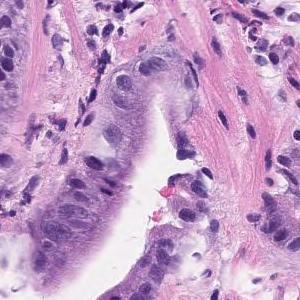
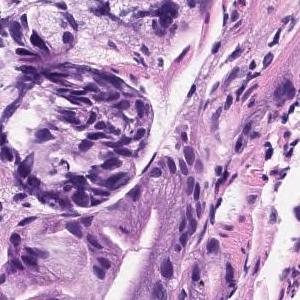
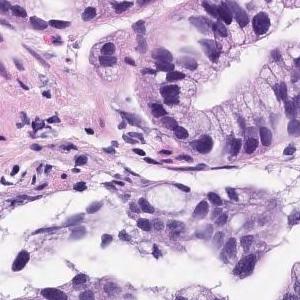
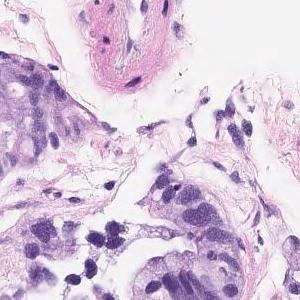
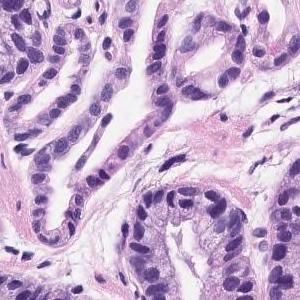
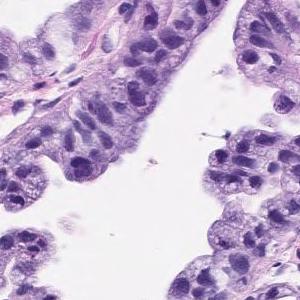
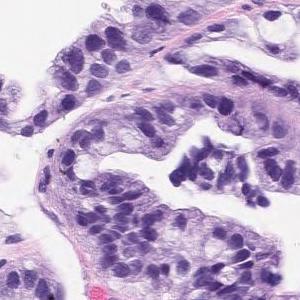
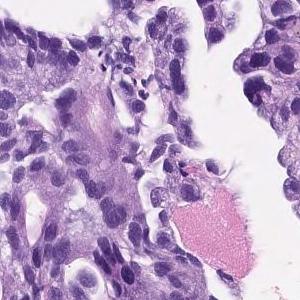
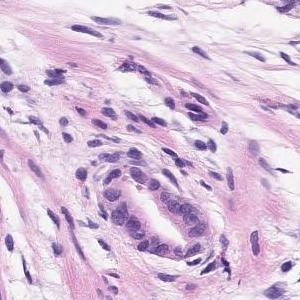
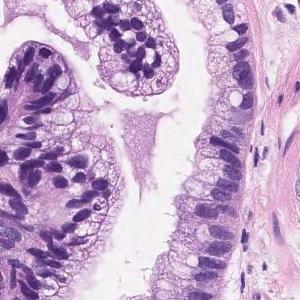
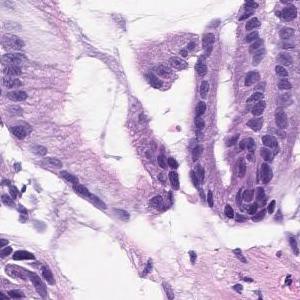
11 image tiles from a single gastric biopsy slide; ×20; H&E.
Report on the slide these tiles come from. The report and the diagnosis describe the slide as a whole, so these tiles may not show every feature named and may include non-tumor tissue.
The superficial tumors shows large papillary structures or large and small ducts and infiltrates. Papillary adenocarcinoma.
